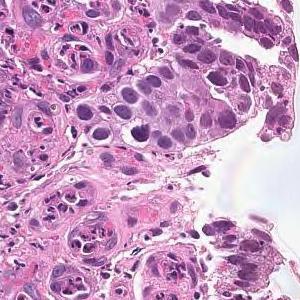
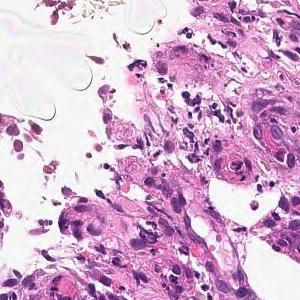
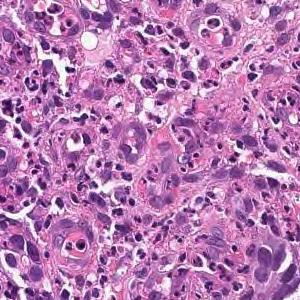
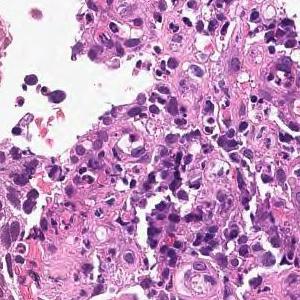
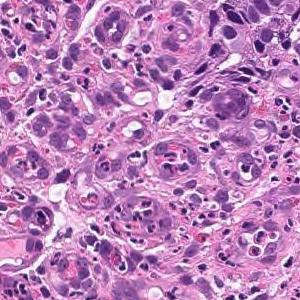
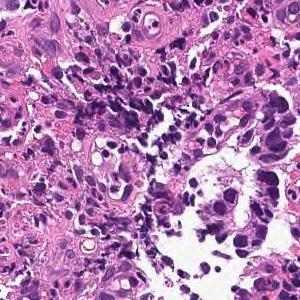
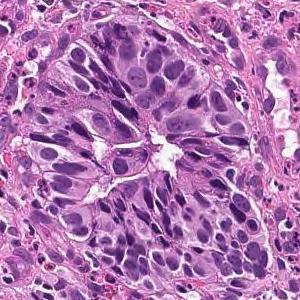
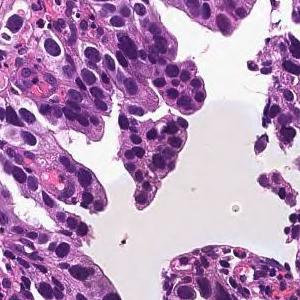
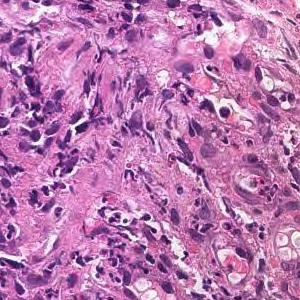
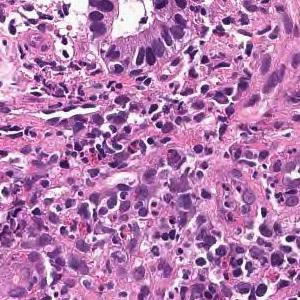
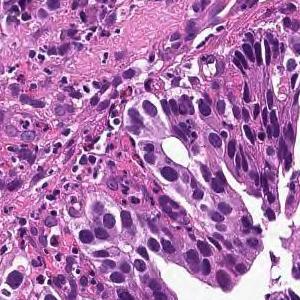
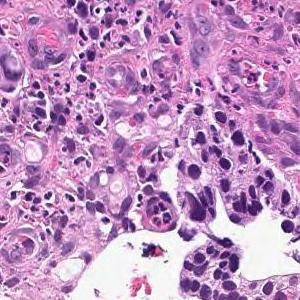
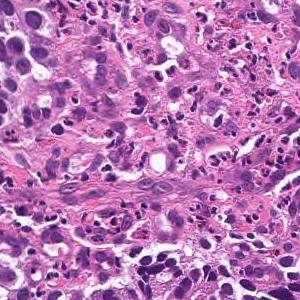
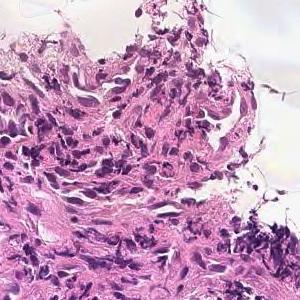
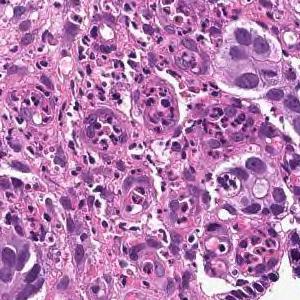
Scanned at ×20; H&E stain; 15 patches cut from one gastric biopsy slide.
The pathologist's report on the biopsy slide these tiles were taken from. The report and the diagnosis describe the slide as a whole, so these tiles may not show every feature named and may include non-tumor tissue.
On the superficial epithelium, tumor tissue consisting of large irregular glandular ducts partially fused and infiltrated is observed. Well to moderately differentiated tubular adenocarcinoma (well differentiated tubular adenocarcinoma, moderately differentiated tubular adenocarcinoma)
Tumor subtype: well to moderately differentiated tubular adenocarcinoma.
